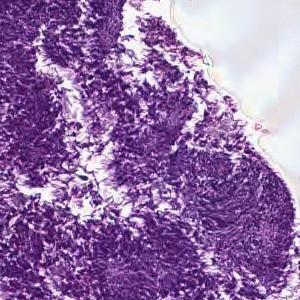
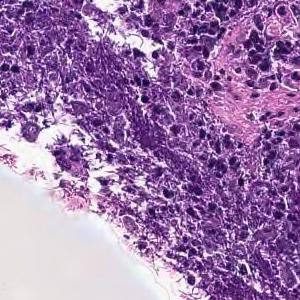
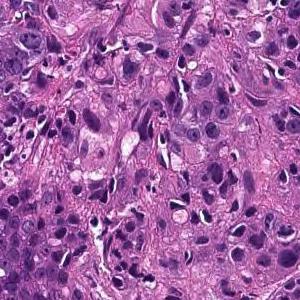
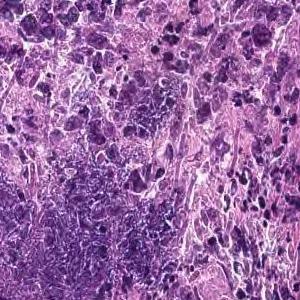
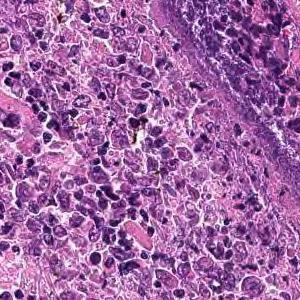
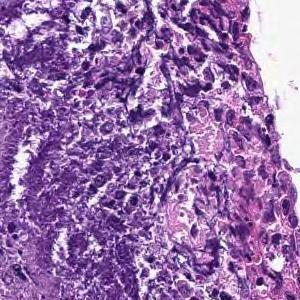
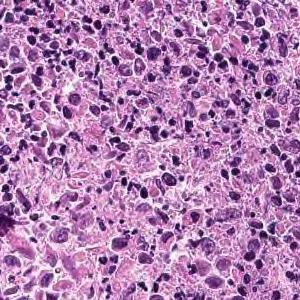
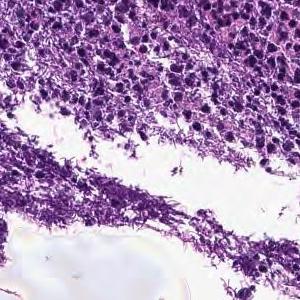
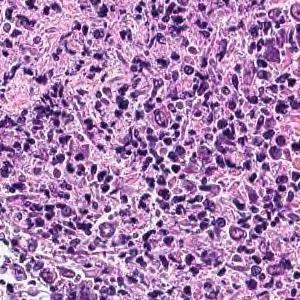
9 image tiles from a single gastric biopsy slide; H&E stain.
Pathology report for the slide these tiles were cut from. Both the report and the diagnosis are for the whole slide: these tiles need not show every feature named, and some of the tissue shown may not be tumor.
Cancers with polygonal nuclei do not show glandular formation and are densely, in part, cord-like and proliferate. Poorly differentiated adenocarcinoma
Histological subtype: Poorly differentiated adenocarcinoma, non-solid type.
The non-solid type named here is a Japanese Classification of Gastric Carcinoma category.
